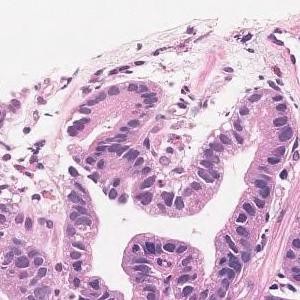
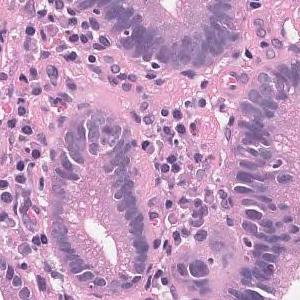
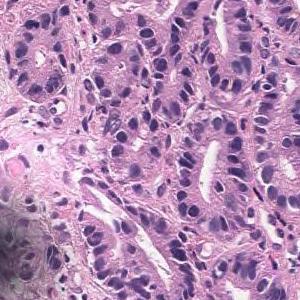
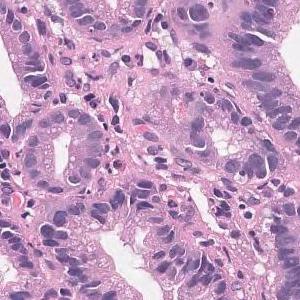
Hematoxylin and eosin stain · 4 patches cut from one gastric biopsy slide · 300×300 px each.
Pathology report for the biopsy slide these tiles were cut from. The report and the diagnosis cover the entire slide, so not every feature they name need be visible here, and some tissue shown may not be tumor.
Tumor tissue that grows tubular from the surface to the glandular fossa is seen. Adenocarcinoma.
Tumor subtype: well differentiated tubular adenocarcinoma.
